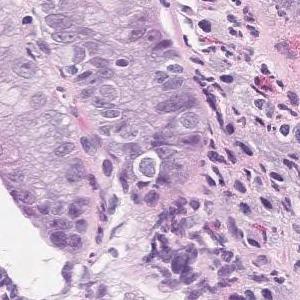
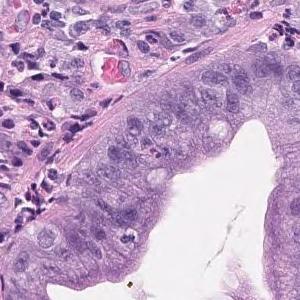
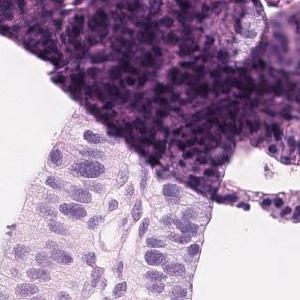
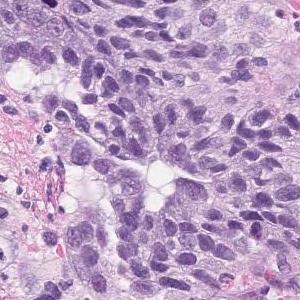
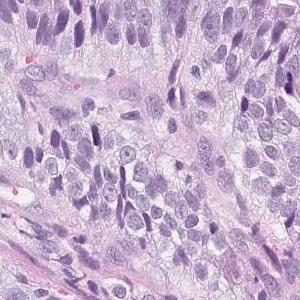
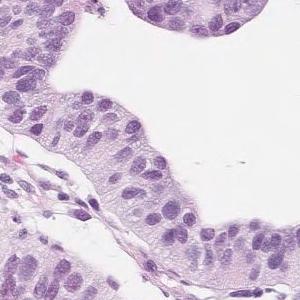
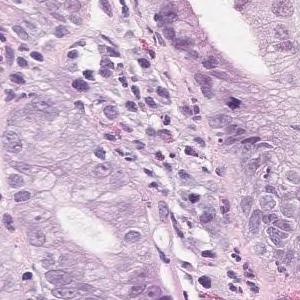
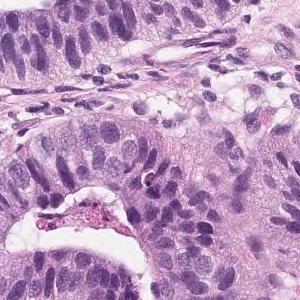
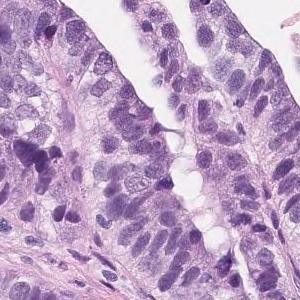
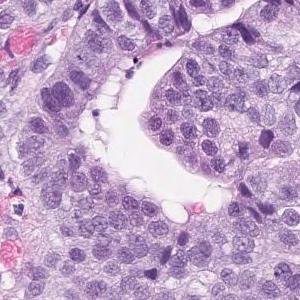
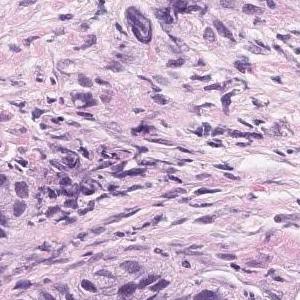
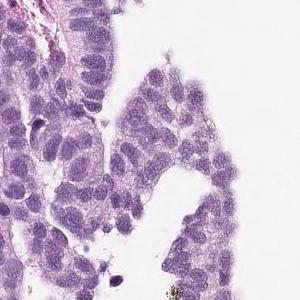
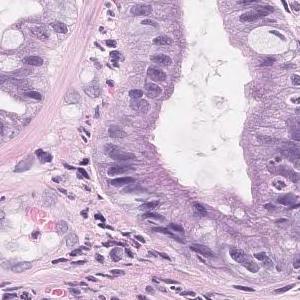
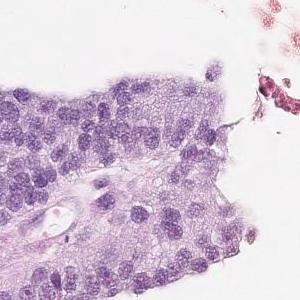
14 patches cut from one gastric biopsy slide · 300 × 300 pixels each · H&E stain · scanned at ×20.
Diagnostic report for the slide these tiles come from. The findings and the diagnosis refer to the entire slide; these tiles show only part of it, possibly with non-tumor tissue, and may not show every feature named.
Tumor tissue in which highly columnar atypical epithelial cells with nuclear enlargement and increased nuclear chromatin show papillary to papillary ductal structure and proliferate is observed. Papillary adenocarcinoma.
